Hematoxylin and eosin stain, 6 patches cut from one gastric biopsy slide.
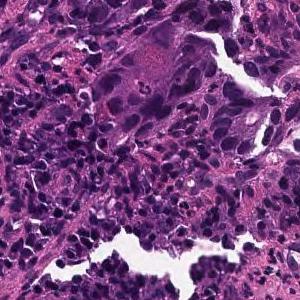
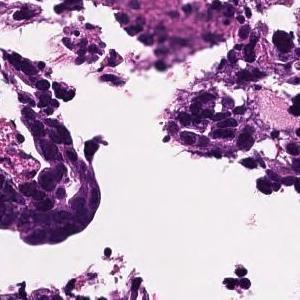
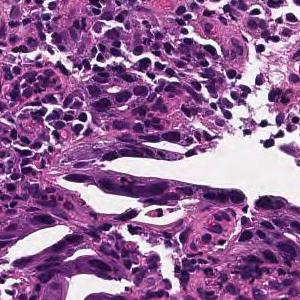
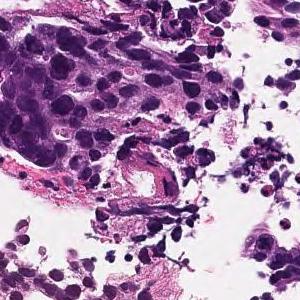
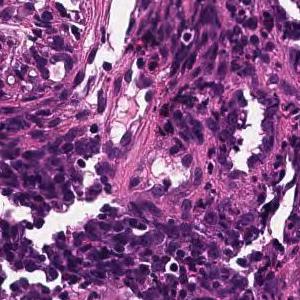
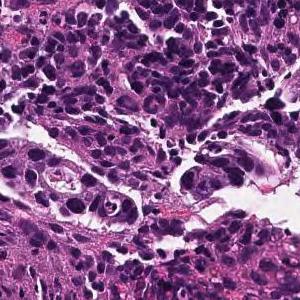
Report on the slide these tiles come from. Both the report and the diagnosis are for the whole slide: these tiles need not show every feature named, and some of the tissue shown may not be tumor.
On the superficial epithelium, tumor tissue consisting of large irregular glandular ducts partially fused and infiltrated is observed. Well to moderately differentiated tubular adenocarcinoma (well differentiated tubular adenocarcinoma, moderately differentiated tubular adenocarcinoma)
Histological subtype: Well to moderately differentiated tubular adenocarcinoma.
